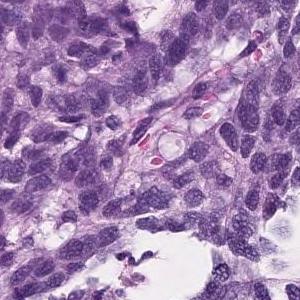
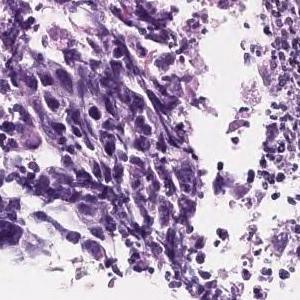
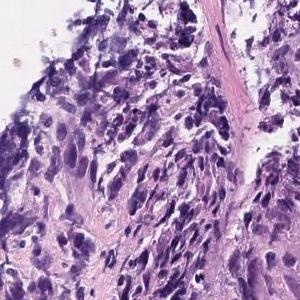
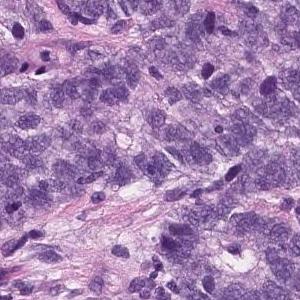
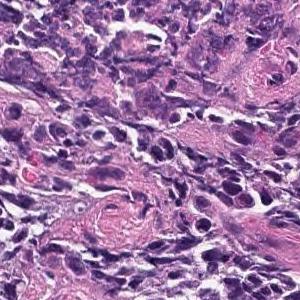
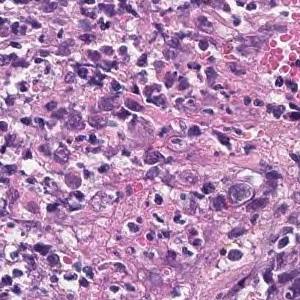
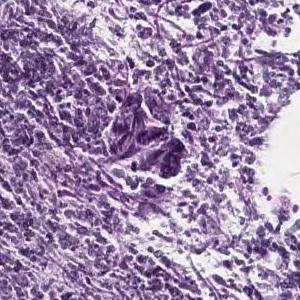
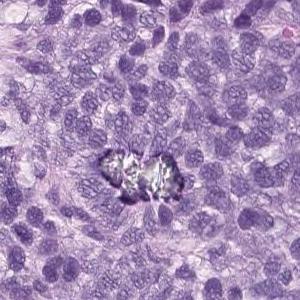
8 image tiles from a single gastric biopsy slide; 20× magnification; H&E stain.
Diagnostic report for the slide these tiles come from. Both the report and the diagnosis are for the whole slide: these tiles need not show every feature named, and some of the tissue shown may not be tumor.
Epithelial cells with swollen nuclei with atypia invasively proliferating while forming vesicles is observed. Poorly differentiated adenocarcinoma
Tumor subtype: poorly differentiated adenocarcinoma, solid type, a category of the Japanese Classification of Gastric Carcinoma; in the WHO 2019 classification it is tubular adenocarcinoma, poorly differentiated.
